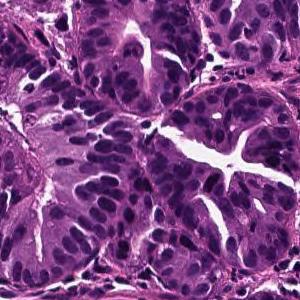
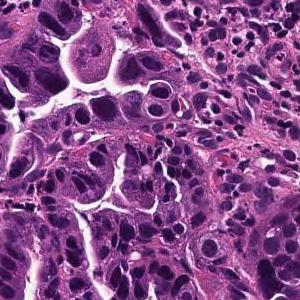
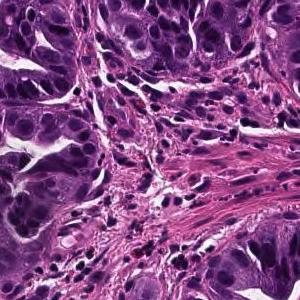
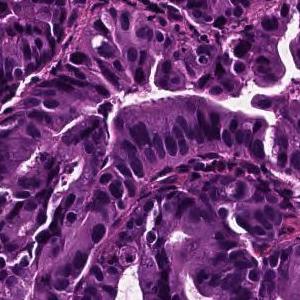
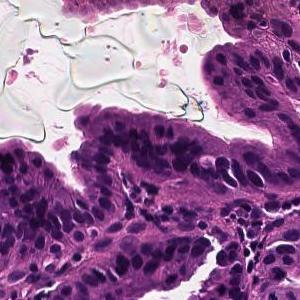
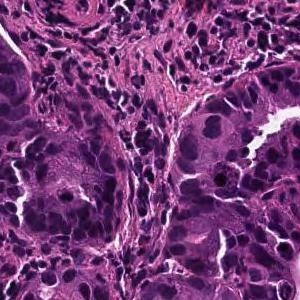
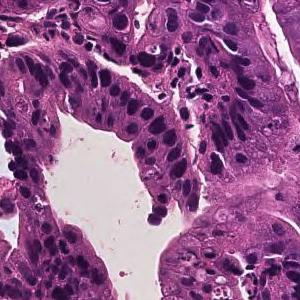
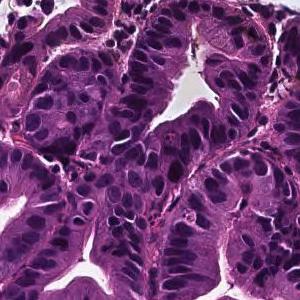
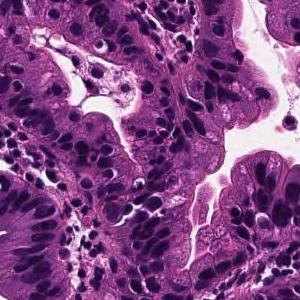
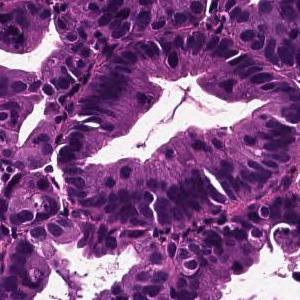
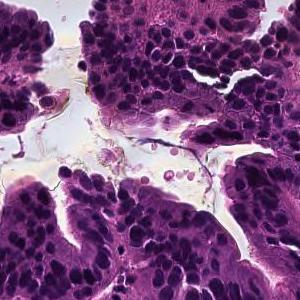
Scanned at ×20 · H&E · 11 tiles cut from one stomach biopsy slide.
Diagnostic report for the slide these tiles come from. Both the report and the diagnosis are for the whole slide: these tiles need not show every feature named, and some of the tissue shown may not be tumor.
Tumor cells are large, highly columnar, large club-shaped nuclei, and are associated with chromatin aggregation. Papillary adenocarcinoma.
